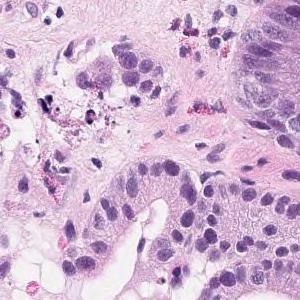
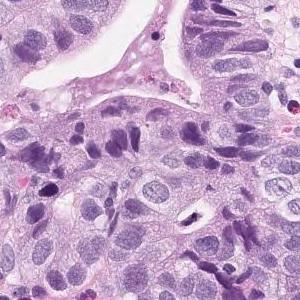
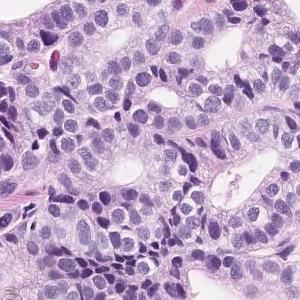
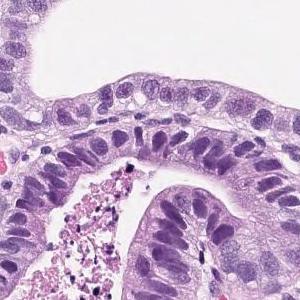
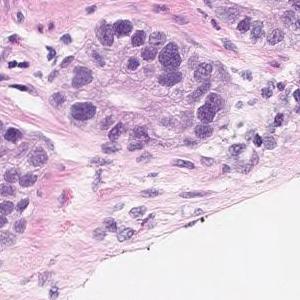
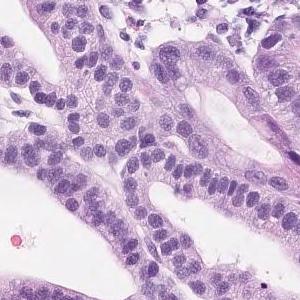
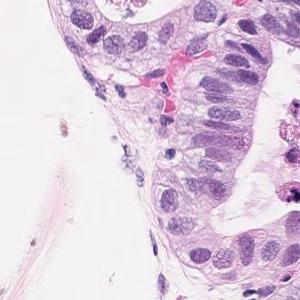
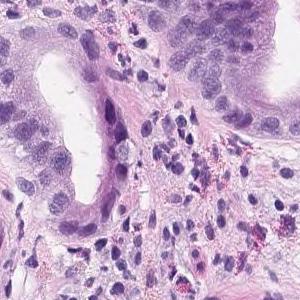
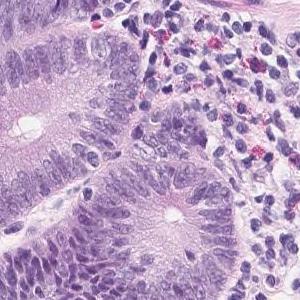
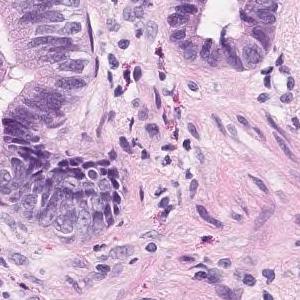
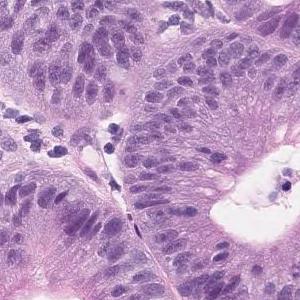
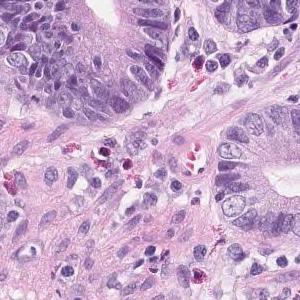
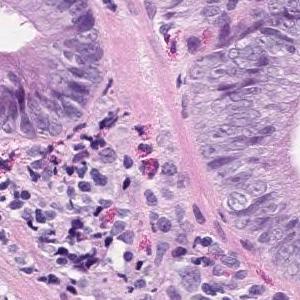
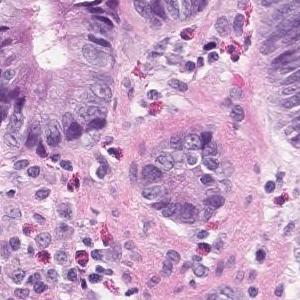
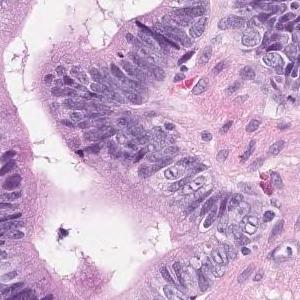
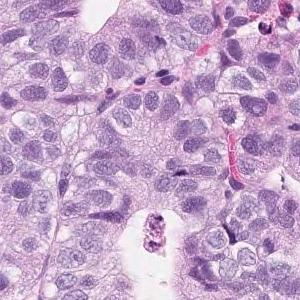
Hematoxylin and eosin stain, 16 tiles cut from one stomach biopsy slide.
Pathology report for the slide these tiles were cut from. What the report and the diagnosis say applies to the whole slide; these tiles may miss some of the features named and may include tissue that is not tumor.
Short atypical epithelium with swelling of the nucleus shows proliferating, large and small irregular ductal structures. Well to moderately differentiated tubular adenocarcinoma (well differentiated tubular adenocarcinoma-moderately differentiated tubular adenocarcinoma)
Tumor subtype: well to moderately differentiated tubular adenocarcinoma.
